H&E stain · scanned at ×20 · 5 tiles cut from one stomach biopsy slide · each 300 × 300 pixels.
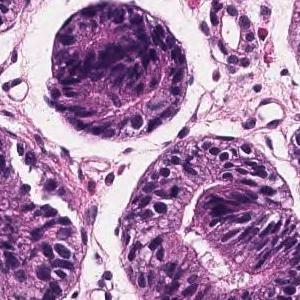
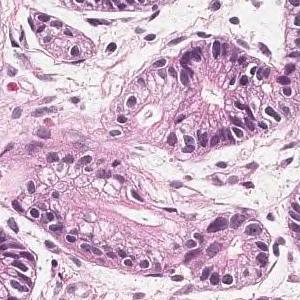
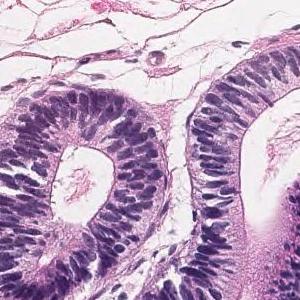
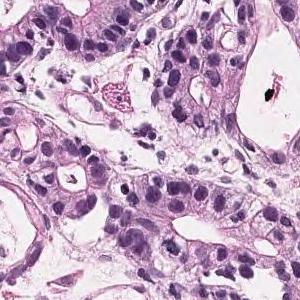
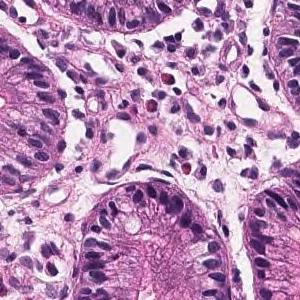
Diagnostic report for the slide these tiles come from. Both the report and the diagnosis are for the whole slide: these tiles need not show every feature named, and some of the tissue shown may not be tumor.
Tumor tissue in which medium to small irregular ducts infiltrate and proliferate in the submucosa can be seen in the epithelium. Well differentiated tubular adenocarcinoma
